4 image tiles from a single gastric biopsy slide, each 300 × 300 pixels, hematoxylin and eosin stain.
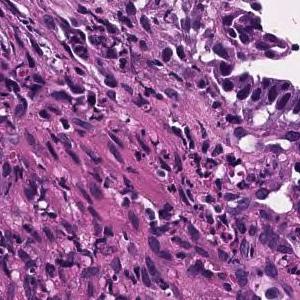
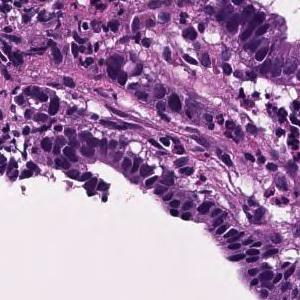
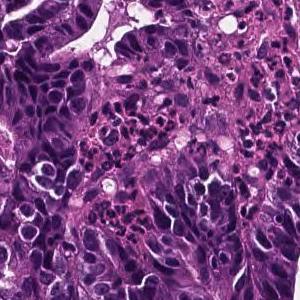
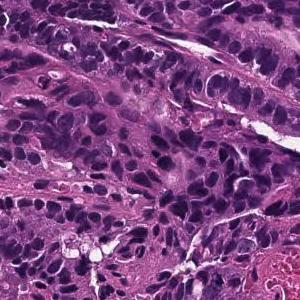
Report on the slide these tiles come from. What the report and the diagnosis say applies to the whole slide; these tiles may miss some of the features named and may include tissue that is not tumor.
Tumor cells are large, highly columnar, large club-shaped nuclei, and are associated with chromatin aggregation. Papillary adenocarcinoma.
